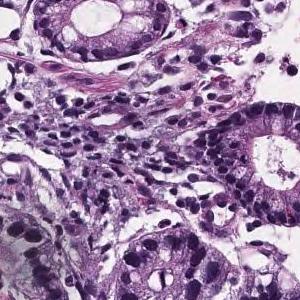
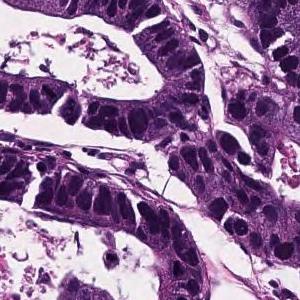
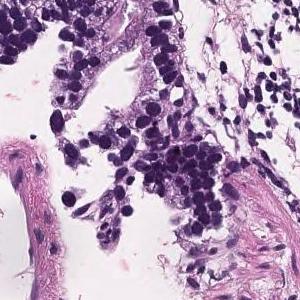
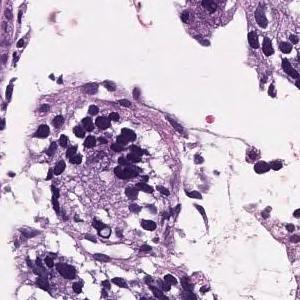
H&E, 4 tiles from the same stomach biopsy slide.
Report on the slide these tiles come from. The report describes the whole slide, diagnosis included: not every finding it names need appear in these tiles, which may also show non-tumor tissue.
In the superficial epithelium, tumor tissue that invades by forming medium-sized to small, irregular ducts is observed. Well differentiated tubular adenocarcinoma.
